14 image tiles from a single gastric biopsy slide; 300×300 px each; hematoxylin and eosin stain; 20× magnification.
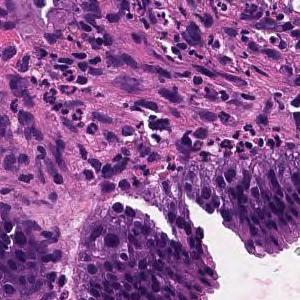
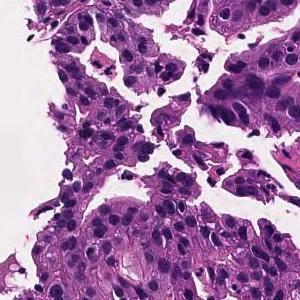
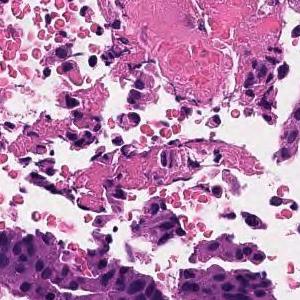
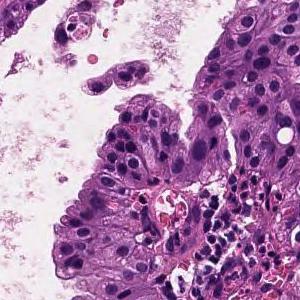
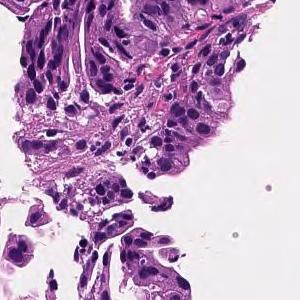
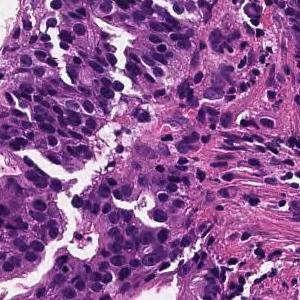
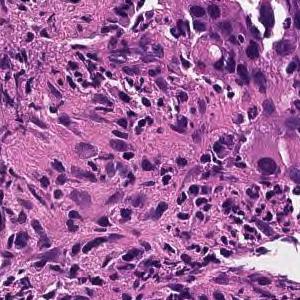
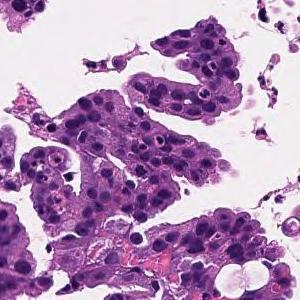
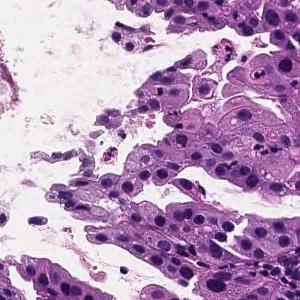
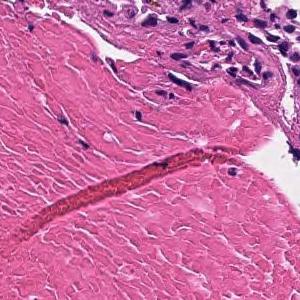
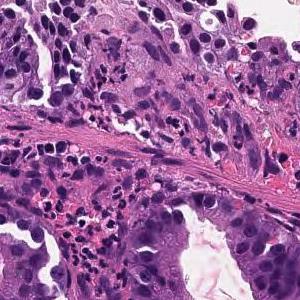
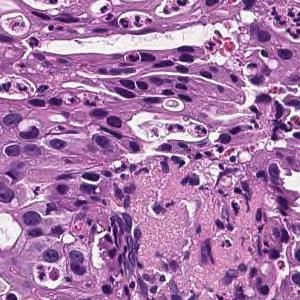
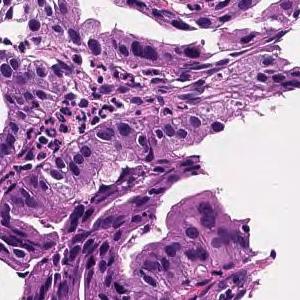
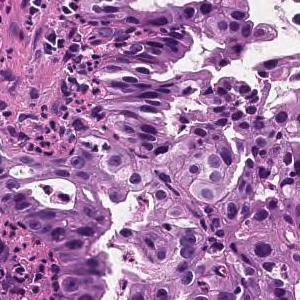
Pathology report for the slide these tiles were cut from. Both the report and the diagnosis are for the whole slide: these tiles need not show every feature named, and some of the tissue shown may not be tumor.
On the superficial epithelium, tumor tissue consisting of large, irregular glandular ducts partially fused and infiltrated is observed. Well to moderately differentiated tubular adenocarcinoma (well differentiated tubular adenocarcinoma, moderately differentiated tubular adenocarcinoma)
Histologic type: Well to moderately differentiated tubular adenocarcinoma.
